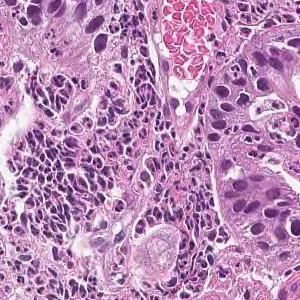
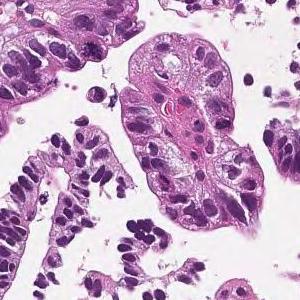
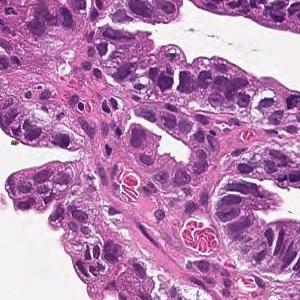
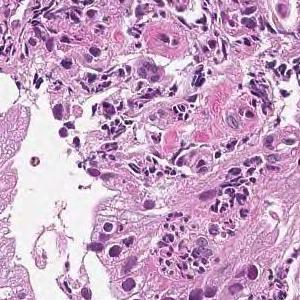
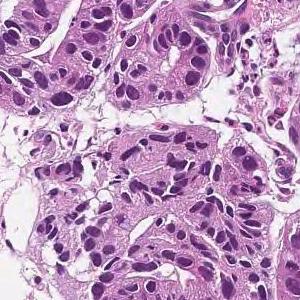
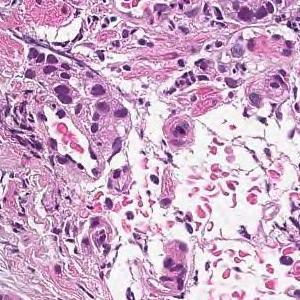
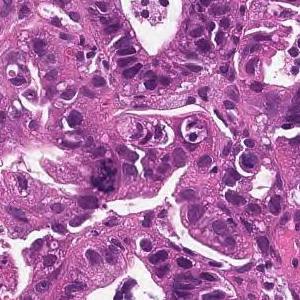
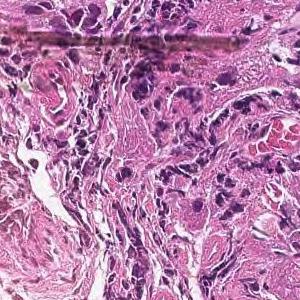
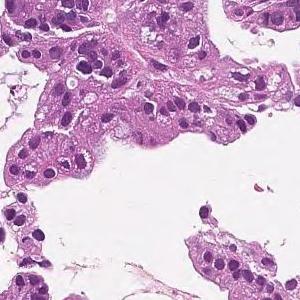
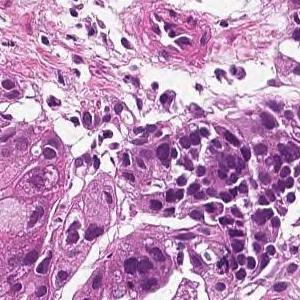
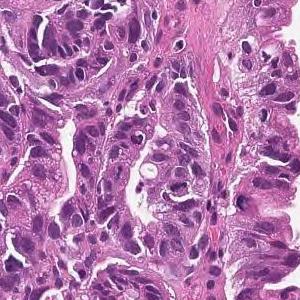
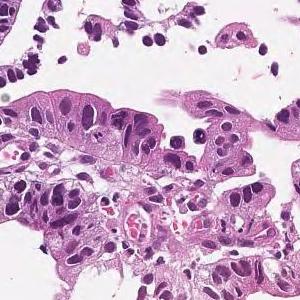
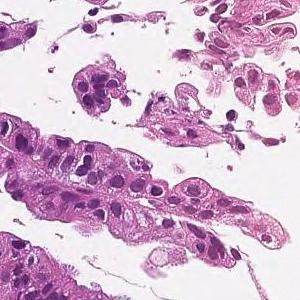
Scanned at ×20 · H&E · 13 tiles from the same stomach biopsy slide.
Pathology report for the biopsy slide these tiles were cut from. The report and the diagnosis cover the entire slide, so not every feature they name need be visible here, and some tissue shown may not be tumor.
On the superficial epithelium, tumor tissue that infiltrates by forming medium-sized papillary or small irregular ducts is observed. Papillary adenocarcinoma
